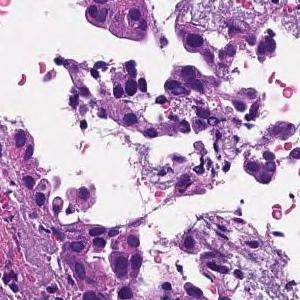
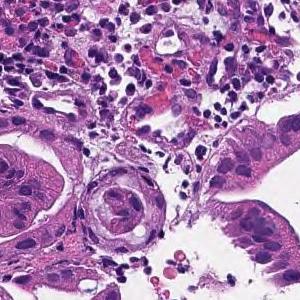
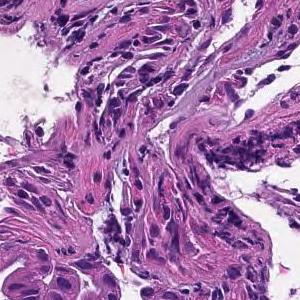
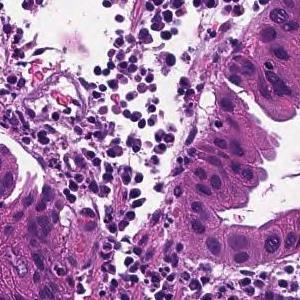
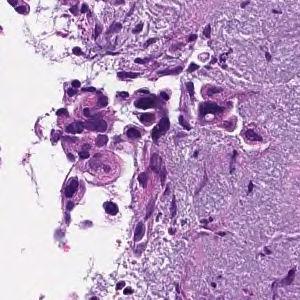
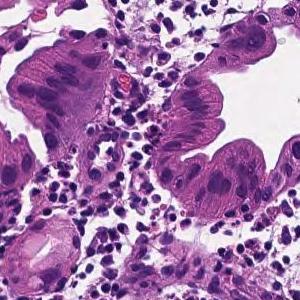
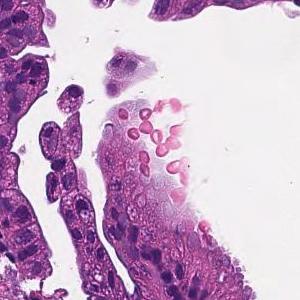
Scanned at ×20 · hematoxylin and eosin stain · 7 tiles cut from one stomach biopsy slide · 300×300 px each.
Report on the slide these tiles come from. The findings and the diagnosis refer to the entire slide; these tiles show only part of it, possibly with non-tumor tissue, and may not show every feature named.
On the superficial epithelium, tumor tissue that infiltrates by forming medium-sized papillary or small irregular ducts is observed. Papillary adenocarcinoma
